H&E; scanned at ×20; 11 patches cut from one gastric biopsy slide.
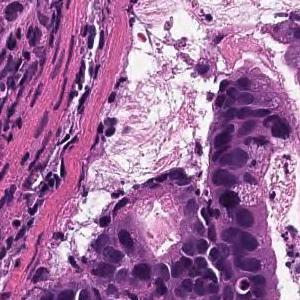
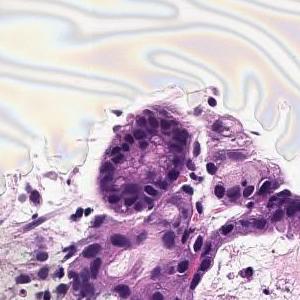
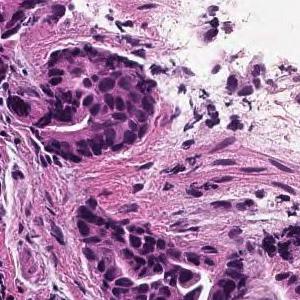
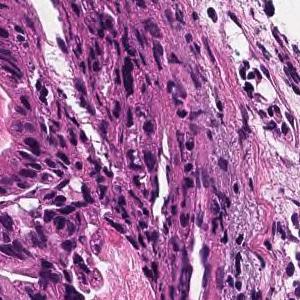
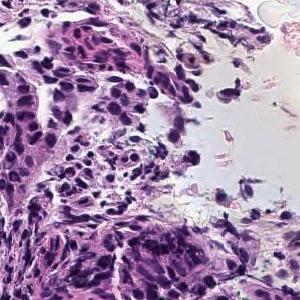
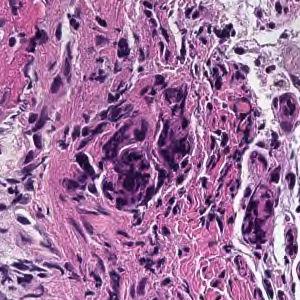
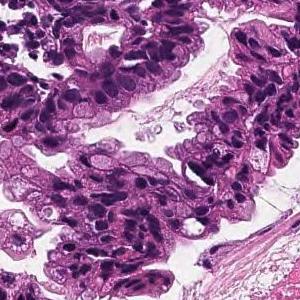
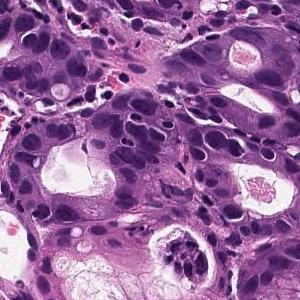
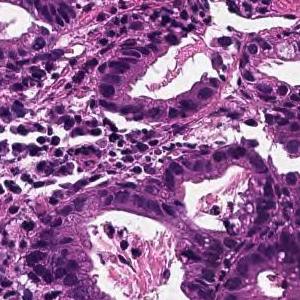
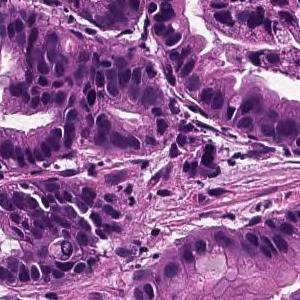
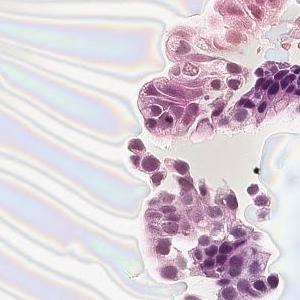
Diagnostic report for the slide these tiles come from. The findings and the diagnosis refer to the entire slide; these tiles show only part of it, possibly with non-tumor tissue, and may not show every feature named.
Tumor cells are large, highly columnar, large club-shaped nuclei, and are associated with chromatin aggregation. Papillary adenocarcinoma.
